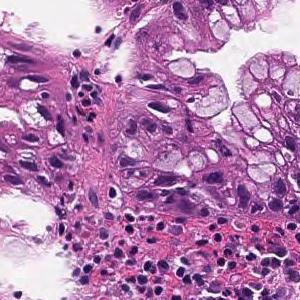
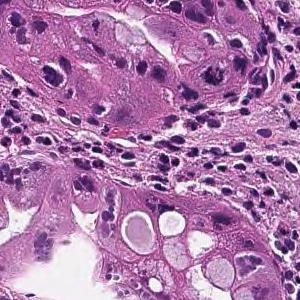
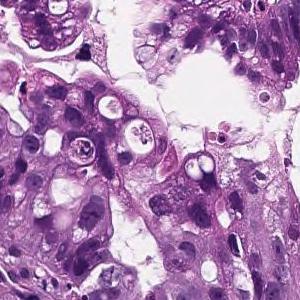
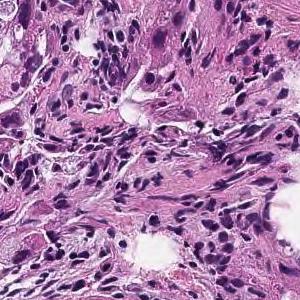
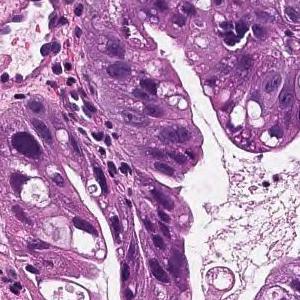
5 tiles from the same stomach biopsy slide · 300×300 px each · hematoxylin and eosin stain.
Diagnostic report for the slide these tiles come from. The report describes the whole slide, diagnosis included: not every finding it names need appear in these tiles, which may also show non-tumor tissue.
From the superficial epithelium to the muscularis mucosae, tumor tissue consisting of medium-sized and irregular glandular ducts infiltrating is observed. Well differentiated tubular adenocarcinoma
